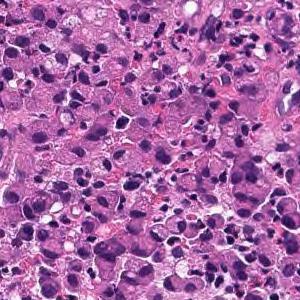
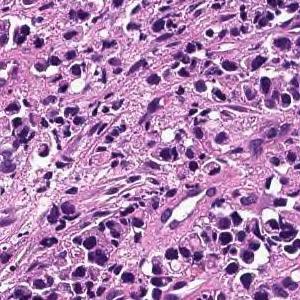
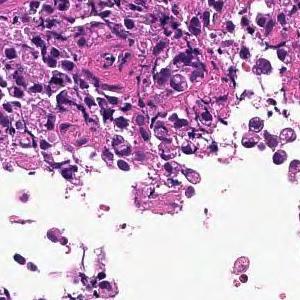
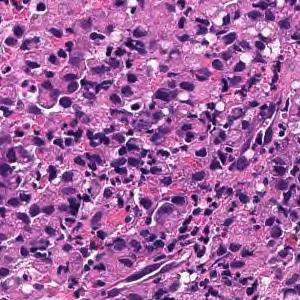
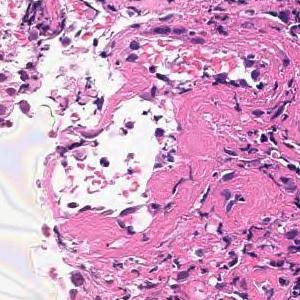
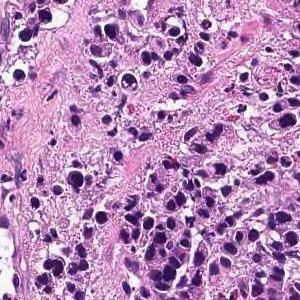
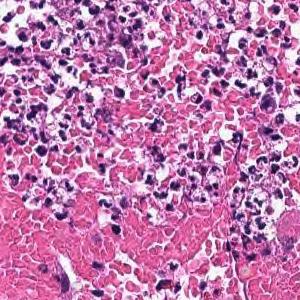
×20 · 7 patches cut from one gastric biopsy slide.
Pathology report for the slide these tiles were cut from. The report and the diagnosis describe the slide as a whole, so these tiles may not show every feature named and may include non-tumor tissue.
Tumor tissue consisting of diffusely infiltrated large atypical epithelial cells or signet ring atypical cells is observed in the superficial epithelium. Poorly differentiated adenocarcinoma, solid-type
Classified as poorly differentiated adenocarcinoma, solid type. This name comes from the Japanese Classification of Gastric Carcinoma; the WHO 2019 classification calls it tubular adenocarcinoma, poorly differentiated.
